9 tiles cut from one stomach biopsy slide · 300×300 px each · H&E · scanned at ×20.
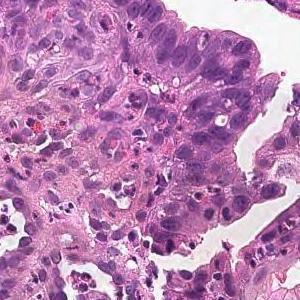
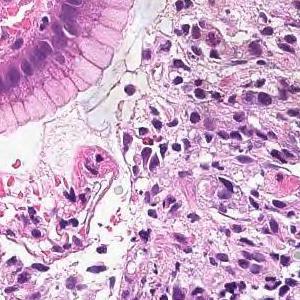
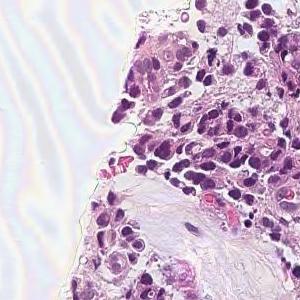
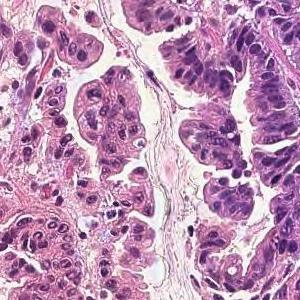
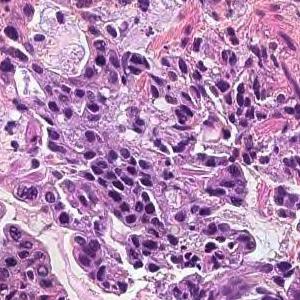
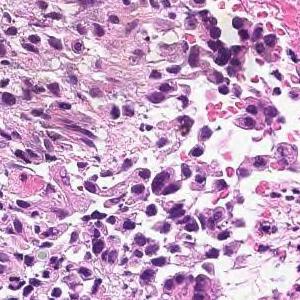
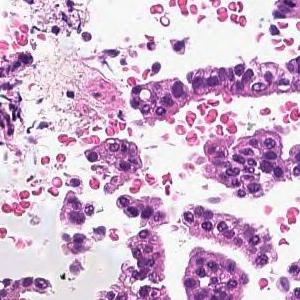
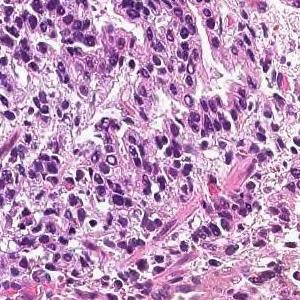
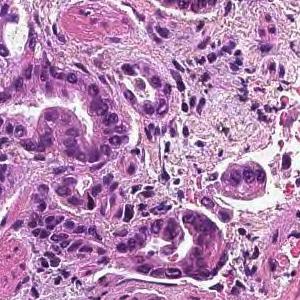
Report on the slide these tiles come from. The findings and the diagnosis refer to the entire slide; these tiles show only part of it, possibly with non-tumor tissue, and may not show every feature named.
Tumor tissue consisting of medium-sized, cord-like or irregular glandular infiltration is observed in the superficial epithelium. Poorly differentiated adenocarcinoma, non-solid type or moderately differentiated tubular adenocarcinoma
Subtype: Moderately to poorly differentiated adenocarcinoma.
The term "non-solid type" comes from the Japanese Classification of Gastric Carcinoma.
